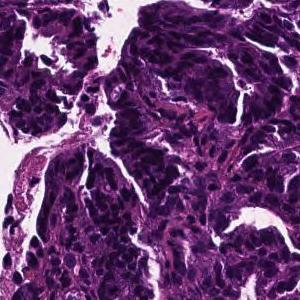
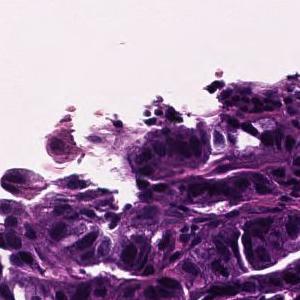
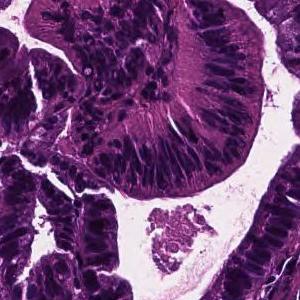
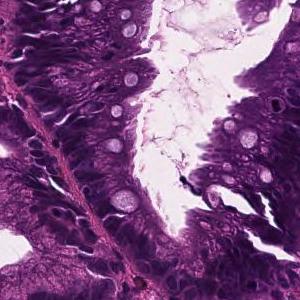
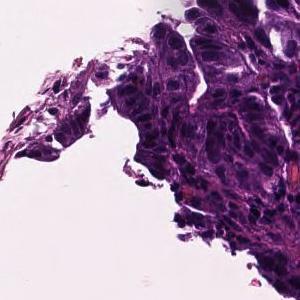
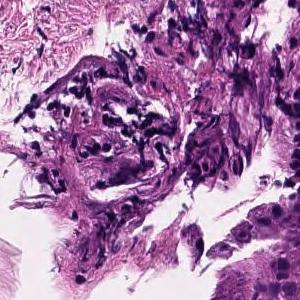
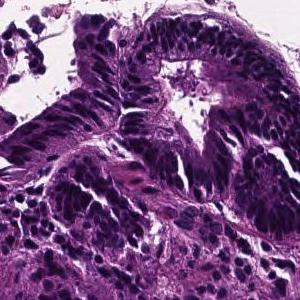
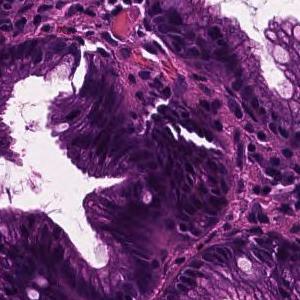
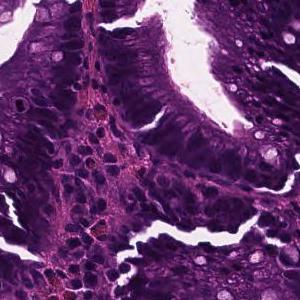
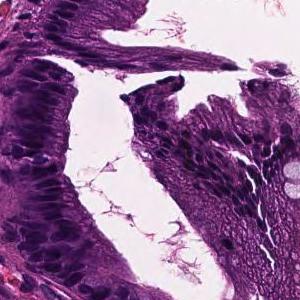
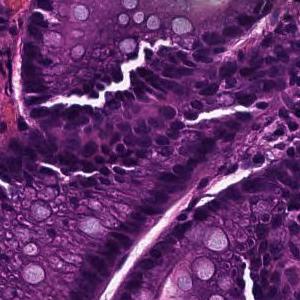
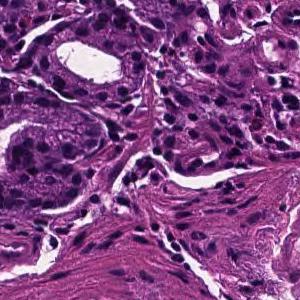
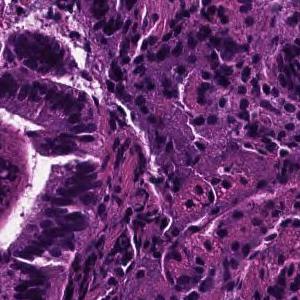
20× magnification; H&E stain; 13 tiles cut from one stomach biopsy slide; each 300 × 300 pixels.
Pathology report for the biopsy slide these tiles were cut from. The report and the diagnosis cover the entire slide, so not every feature they name need be visible here, and some tissue shown may not be tumor.
In the superficial epithelium, tumor tissue that invades by forming medium-sized to small, irregular ducts is observed. Well differentiated tubular adenocarcinoma.
